20× magnification · H&E stain · 8 image tiles from a single gastric biopsy slide · each 300 × 300 pixels.
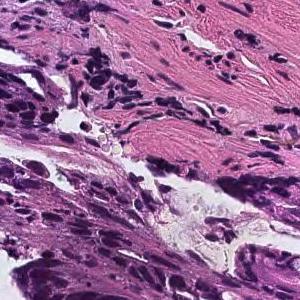
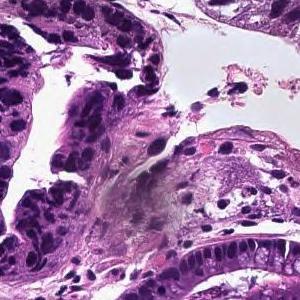
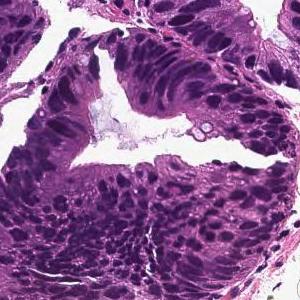
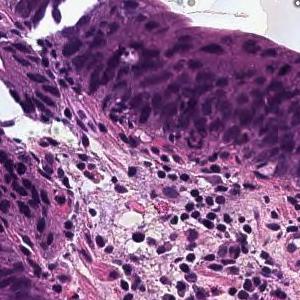
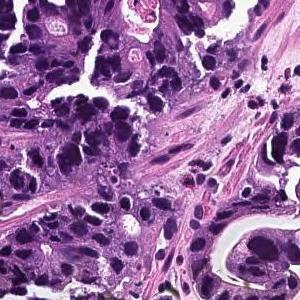
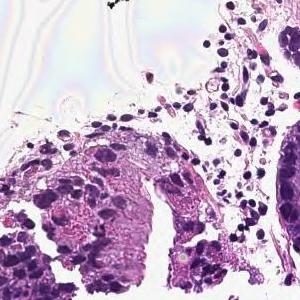
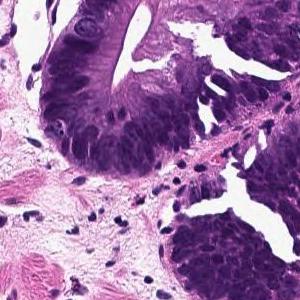
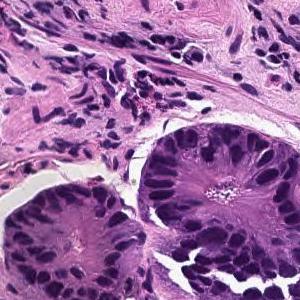
The pathologist's report on the biopsy slide these tiles were taken from. The report and the diagnosis cover the entire slide, so not every feature they name need be visible here, and some tissue shown may not be tumor.
In the superficial epithelium, tumor tissue that invades by forming medium-sized to small, irregular ducts is observed. moderately differentiated tubular adenocarcinoma.
